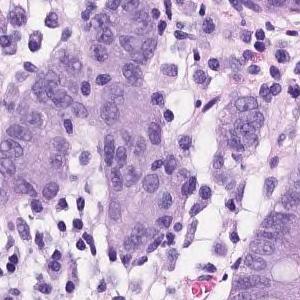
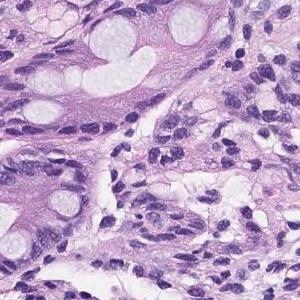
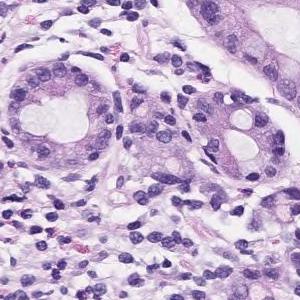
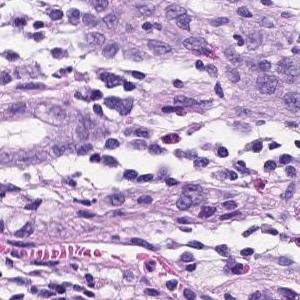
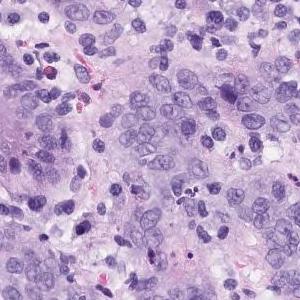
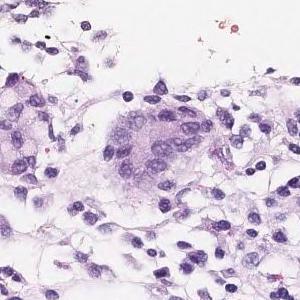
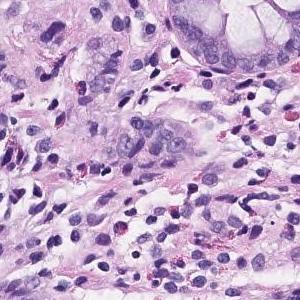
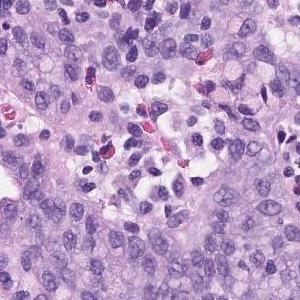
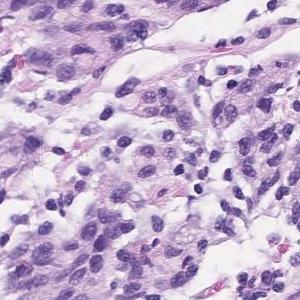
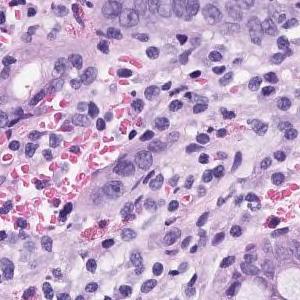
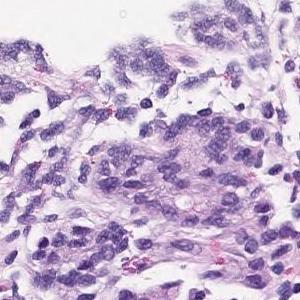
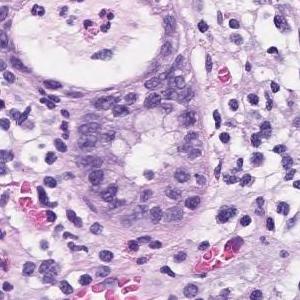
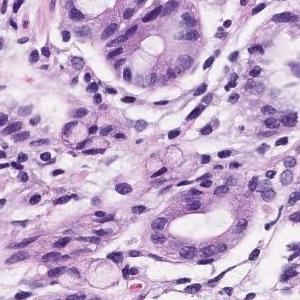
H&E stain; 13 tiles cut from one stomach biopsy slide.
Report on the slide these tiles come from. The report and the diagnosis cover the entire slide, so not every feature they name need be visible here, and some tissue shown may not be tumor.
Atypical l cells with atypical nuclei forming diffuse or small irregular atypical ducts and growing. Moderately to poorly differentiated adenocarcinoma (poorly differentiated adenocarcinoma, solid type moderately differentiated tubular adenocarcinoma)
Histological subtype: Moderately to poorly differentiated adenocarcinoma.
The solid type named here is a Japanese Classification of Gastric Carcinoma category; WHO 2019 calls it tubular adenocarcinoma, poorly differentiated.
